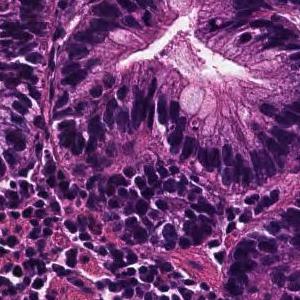
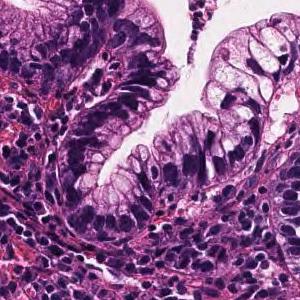
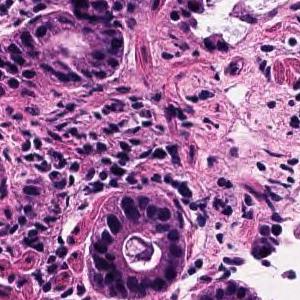
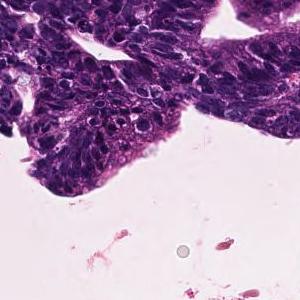
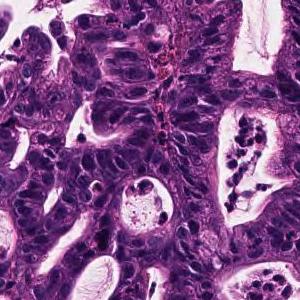
20× magnification · H&E · 5 tiles from the same stomach biopsy slide.
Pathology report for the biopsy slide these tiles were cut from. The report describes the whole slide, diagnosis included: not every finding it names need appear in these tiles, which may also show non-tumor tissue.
Tumor cells are large, highly columnar, large club-shaped nuclei, and are associated with chromatin aggregation. Papillary adenocarcinoma.
